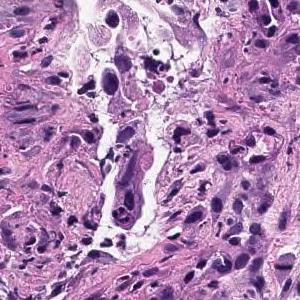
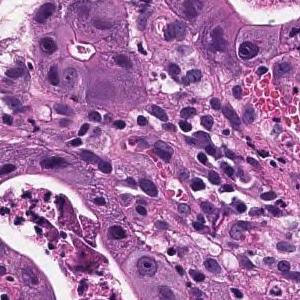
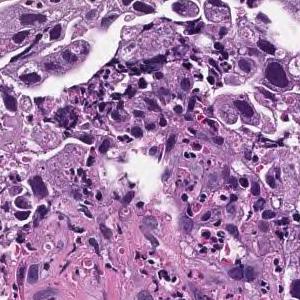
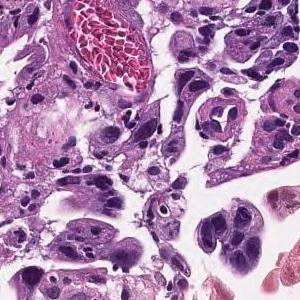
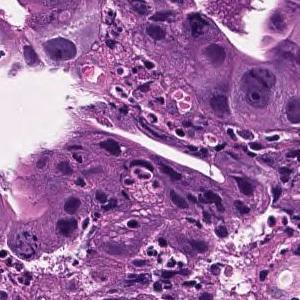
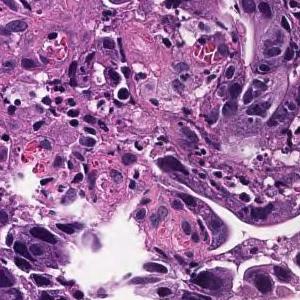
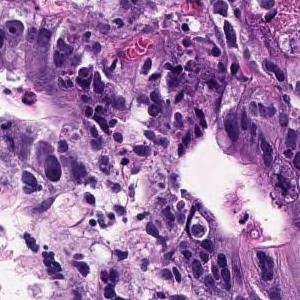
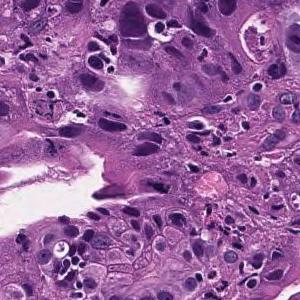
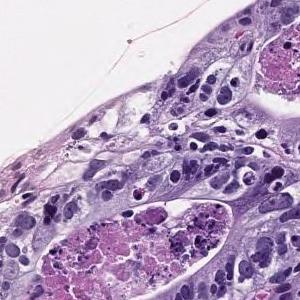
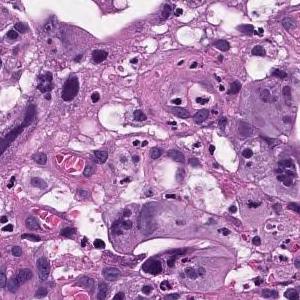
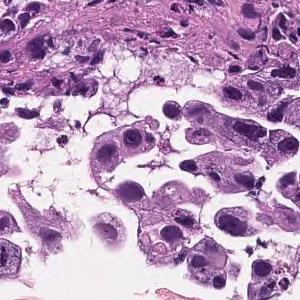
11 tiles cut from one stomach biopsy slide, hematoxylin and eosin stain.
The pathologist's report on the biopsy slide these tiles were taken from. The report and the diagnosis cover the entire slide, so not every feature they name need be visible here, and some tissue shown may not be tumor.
In the superficial epithelium, medium to small irregular gland ducts are formed, and in some cases, the ducts are fused to show solid alveolar lesions and infiltrating tumor tissue is observed. Moderately to poorly differentiated adenocarcinoma
